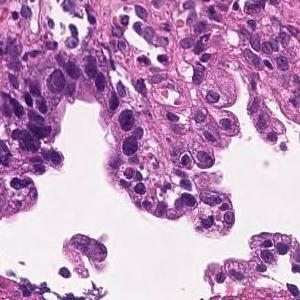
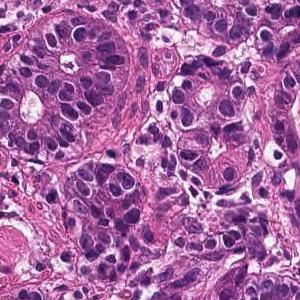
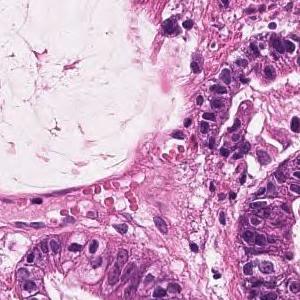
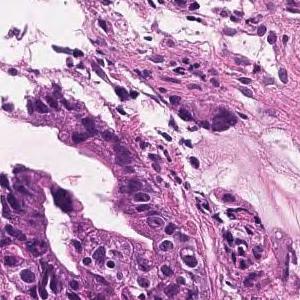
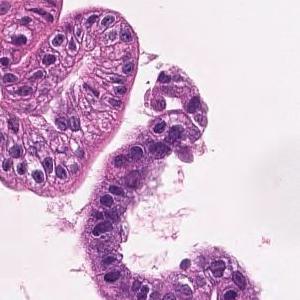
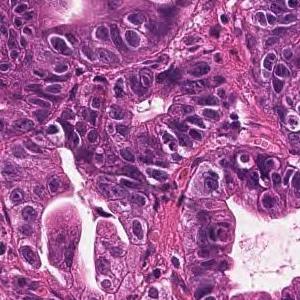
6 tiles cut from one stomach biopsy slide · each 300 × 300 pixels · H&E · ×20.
Pathology report for the slide these tiles were cut from. What the report and the diagnosis say applies to the whole slide; these tiles may miss some of the features named and may include tissue that is not tumor.
In the superficial epithelium, tumor tissue that invades by forming medium-sized to small, irregular ducts is observed. Well differentiated tubular adenocarcinoma.
